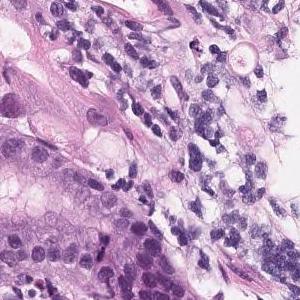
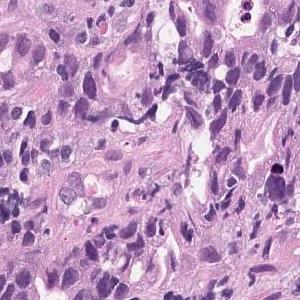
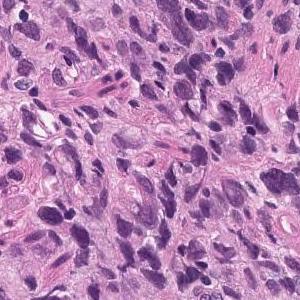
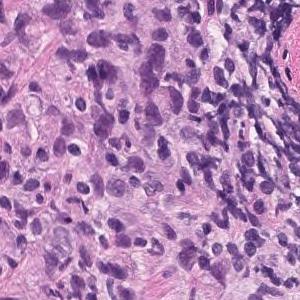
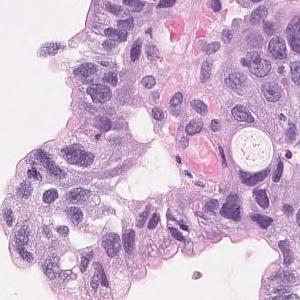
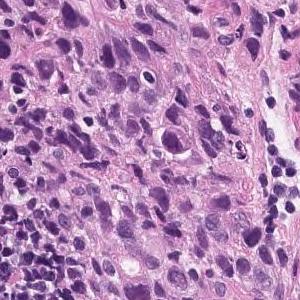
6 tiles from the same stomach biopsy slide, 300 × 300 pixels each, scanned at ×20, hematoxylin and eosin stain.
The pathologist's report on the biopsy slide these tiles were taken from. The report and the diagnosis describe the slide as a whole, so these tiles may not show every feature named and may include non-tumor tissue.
Tumor tissue consisting of medium-sized, cord-like or irregular glandular infiltration is observed in the superficial epithelium. Poorly differentiated adenocarcinoma, non-solid type or moderately differentiated tubular adenocarcinoma
The dataset labels this slide poorly differentiated adenocarcinoma, non-solid type.
"Non-solid type" is a category of the Japanese Classification of Gastric Carcinoma.
